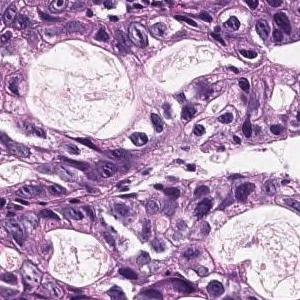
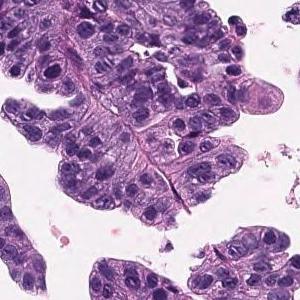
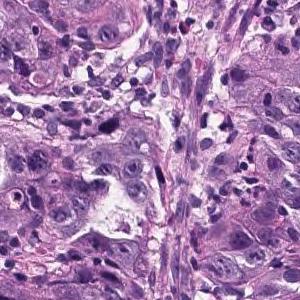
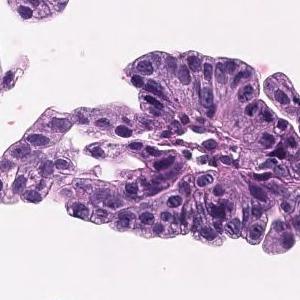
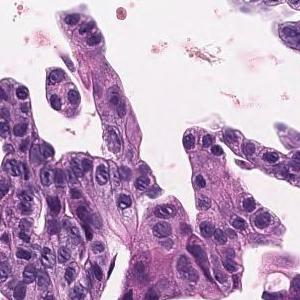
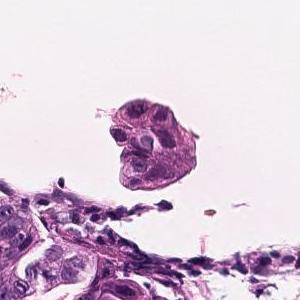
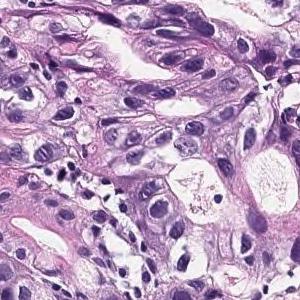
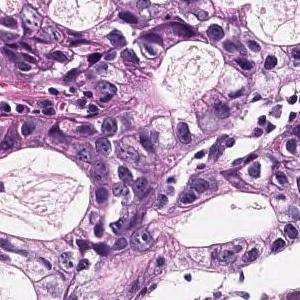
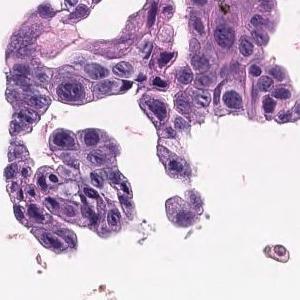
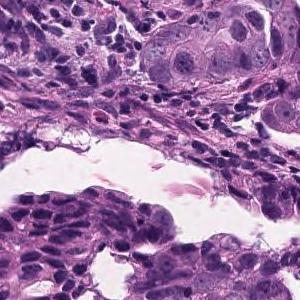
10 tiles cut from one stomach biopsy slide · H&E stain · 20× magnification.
Report on the slide these tiles come from. The findings and the diagnosis refer to the entire slide; these tiles show only part of it, possibly with non-tumor tissue, and may not show every feature named.
Tumor cells are large, highly columnar, large club-shaped nuclei, and are associated with chromatin aggregation. Papillary adenocarcinoma.
